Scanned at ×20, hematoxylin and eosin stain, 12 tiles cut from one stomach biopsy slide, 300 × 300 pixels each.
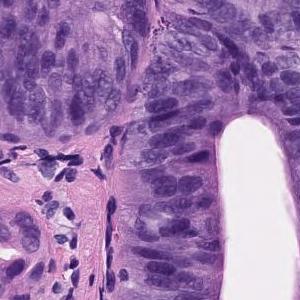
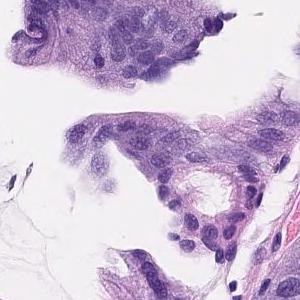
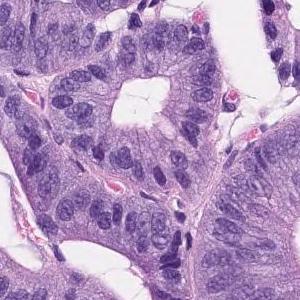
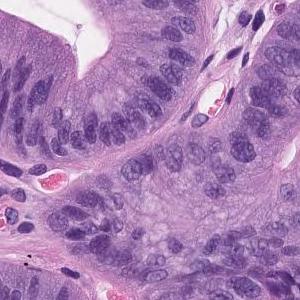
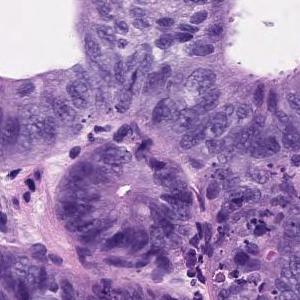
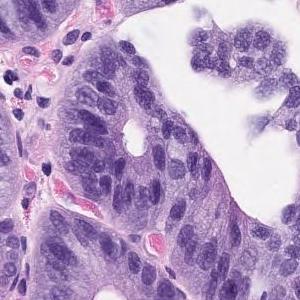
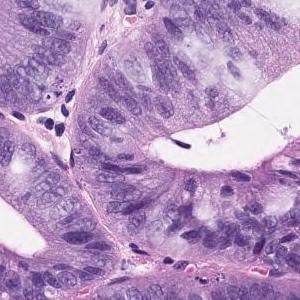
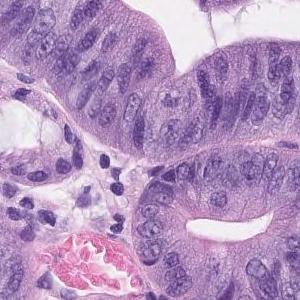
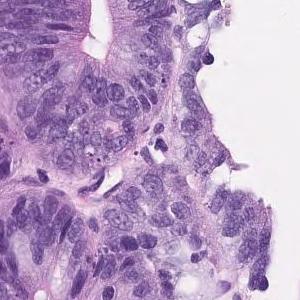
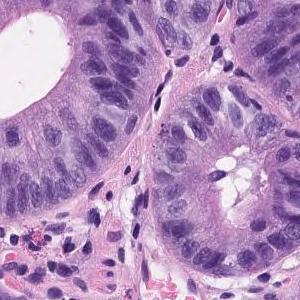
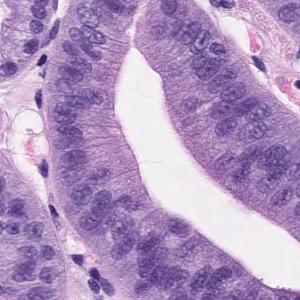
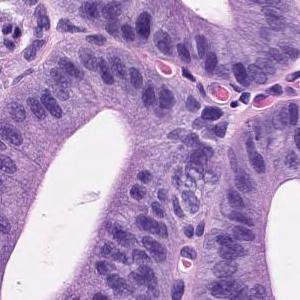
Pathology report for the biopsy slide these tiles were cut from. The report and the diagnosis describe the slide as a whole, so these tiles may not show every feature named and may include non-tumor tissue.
On the superficial epithelium, tumor tissue consisting of images of atypical ducts of different sizes partially fused and densely proliferating is observed. Well differentiated tubular adenocarcinoma
